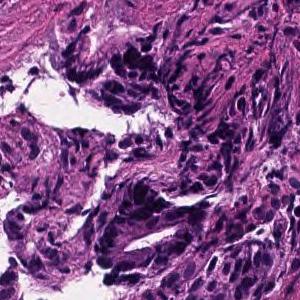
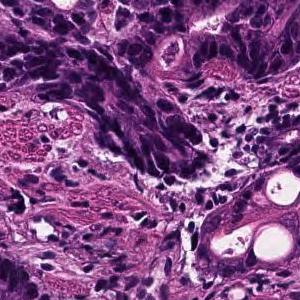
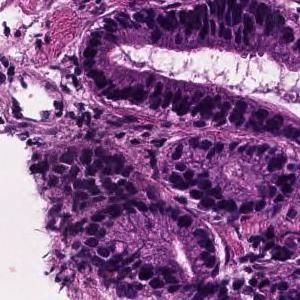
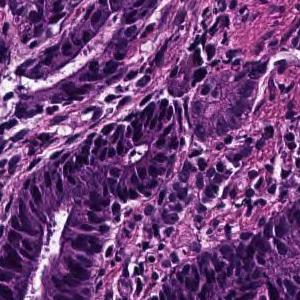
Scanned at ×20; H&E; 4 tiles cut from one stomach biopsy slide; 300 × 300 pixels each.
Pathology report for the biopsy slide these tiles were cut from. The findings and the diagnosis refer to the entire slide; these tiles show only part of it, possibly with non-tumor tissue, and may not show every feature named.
In the superficial epithelium, tumor tissue that invades by forming medium-sized to small, irregular ducts is observed. Well differentiated tubular adenocarcinoma.
